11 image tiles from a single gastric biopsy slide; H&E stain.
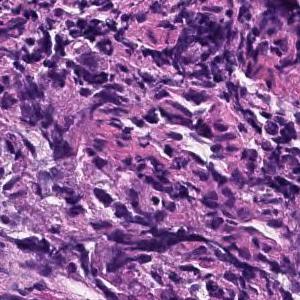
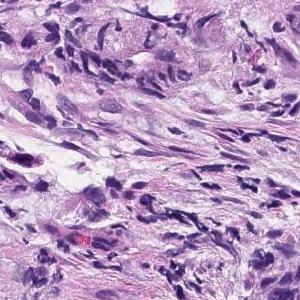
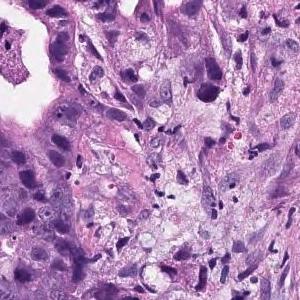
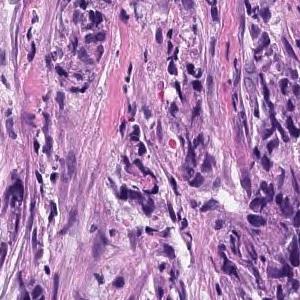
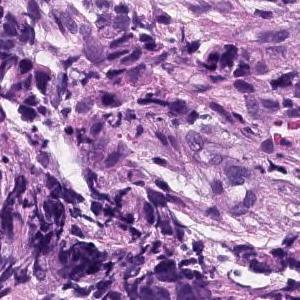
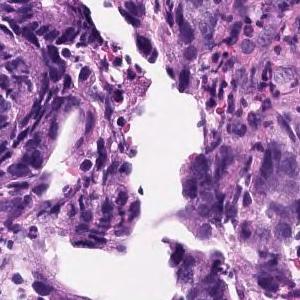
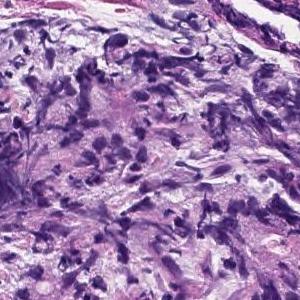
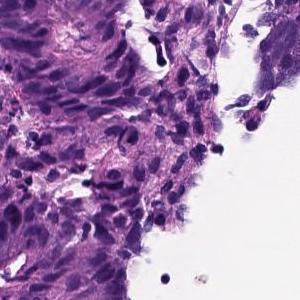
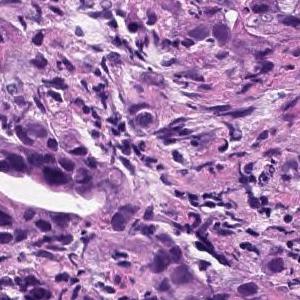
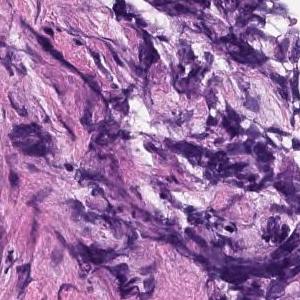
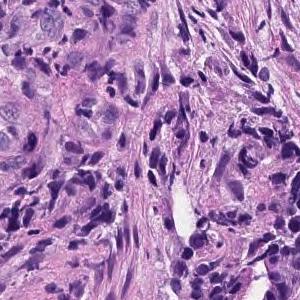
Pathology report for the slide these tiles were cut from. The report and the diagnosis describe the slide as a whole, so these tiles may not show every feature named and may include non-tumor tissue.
Medium to small, irregular glandular ducts are formed in the superficial epithelium, and in some cases, the glandular ducts are fused to show solid alveolar lesions and infiltrating tumor tissue is observed. Moderately to poorly differentiated adenocarcinoma.
